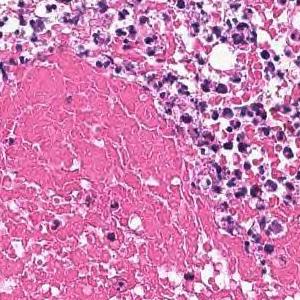
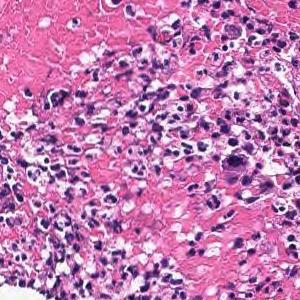
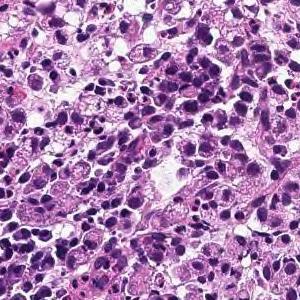
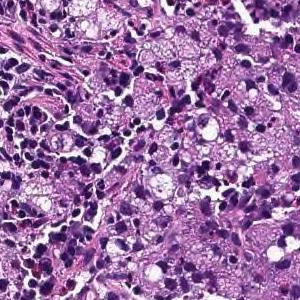
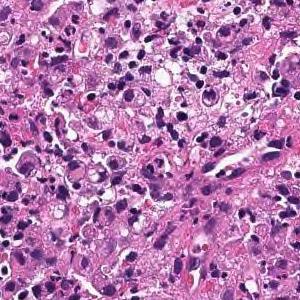
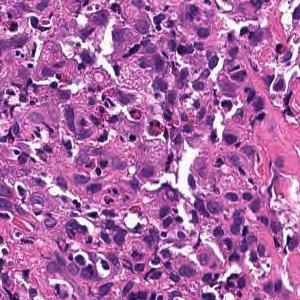
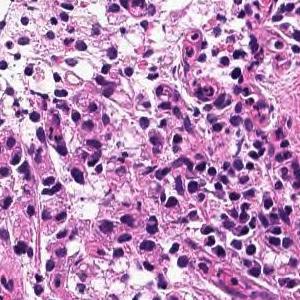
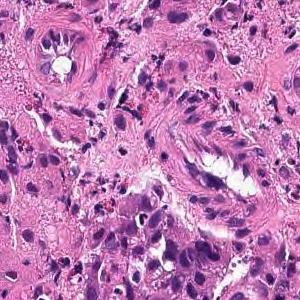
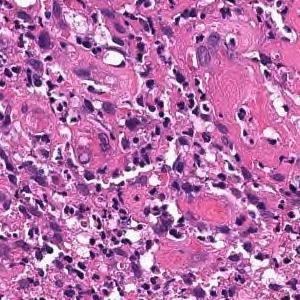
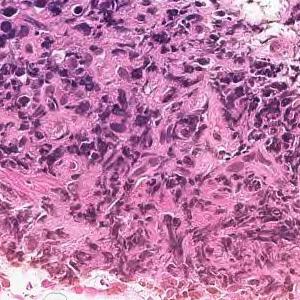
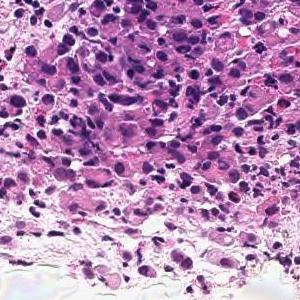
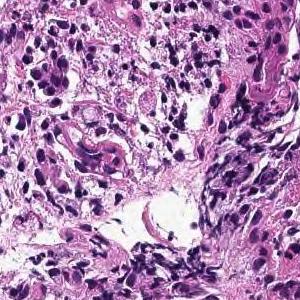
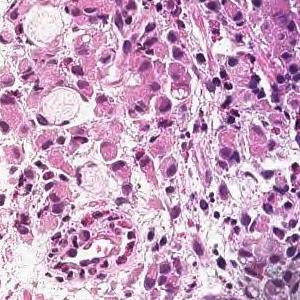
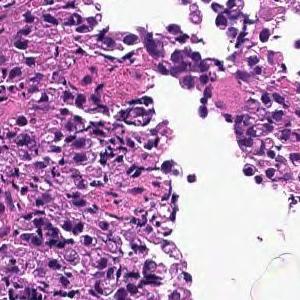
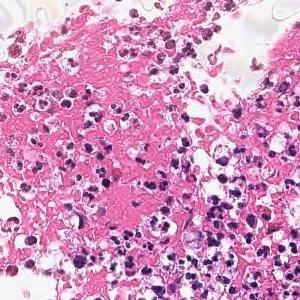
15 image tiles from a single gastric biopsy slide, H&E, scanned at ×20.
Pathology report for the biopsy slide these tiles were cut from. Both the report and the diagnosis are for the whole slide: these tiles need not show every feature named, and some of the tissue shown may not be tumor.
Tumor tissue consisting of diffusely infiltrated large atypical epithelial cells or signet ring atypical cells is observed in the superficial epithelium. Poorly differentiated adenocarcinoma, solid-type
Histological subtype: Poorly differentiated adenocarcinoma, solid type (Japanese Classification of Gastric Carcinoma). The WHO 2019 equivalent is tubular adenocarcinoma, poorly differentiated.
